H&E · 20× magnification · 15 tiles from the same stomach biopsy slide.
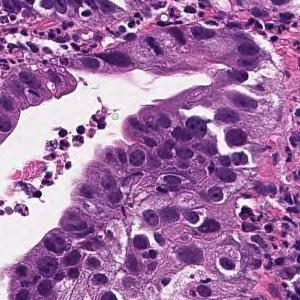
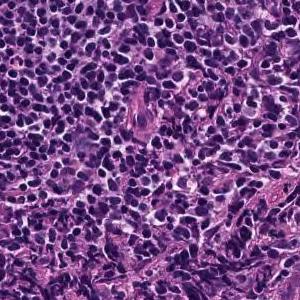
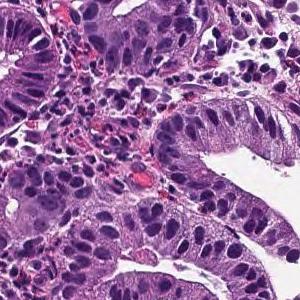
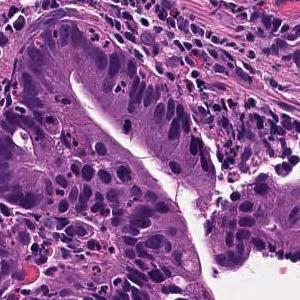
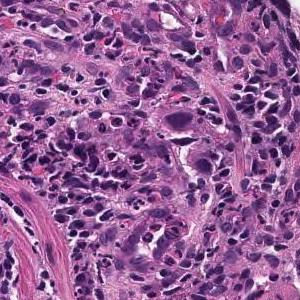
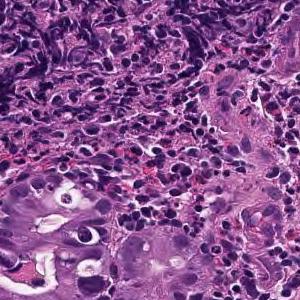
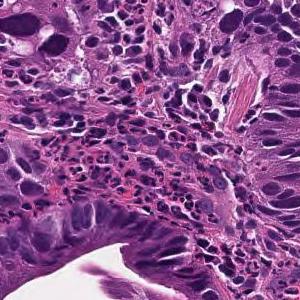
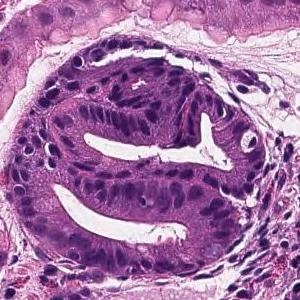
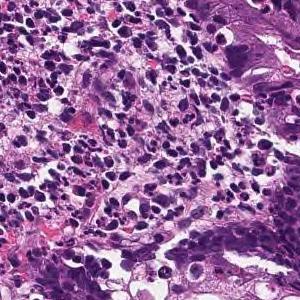
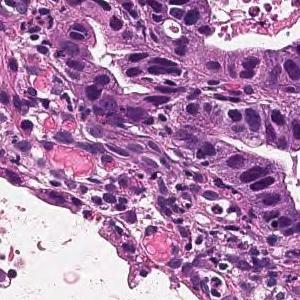
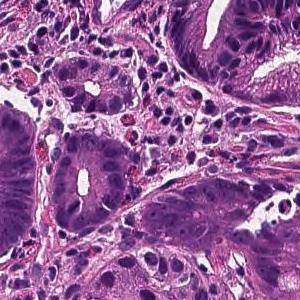
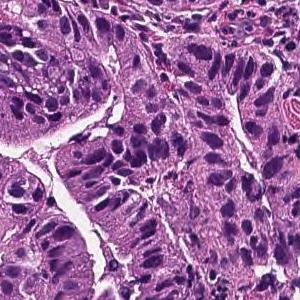
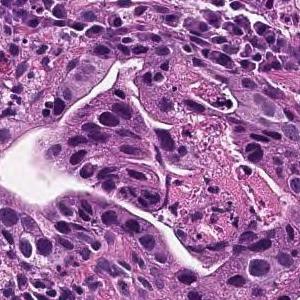
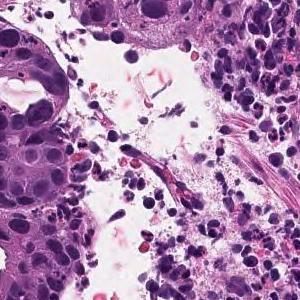
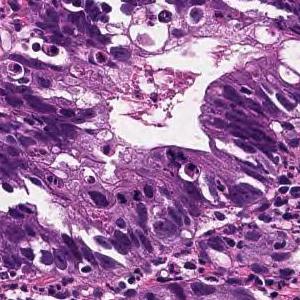
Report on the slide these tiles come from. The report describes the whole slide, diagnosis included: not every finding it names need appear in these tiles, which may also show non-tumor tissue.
From the superficial epithelium to the muscularis mucosae, tumor tissue consisting of medium-sized and irregular glandular ducts infiltrating is observed. Well differentiated tubular adenocarcinoma
